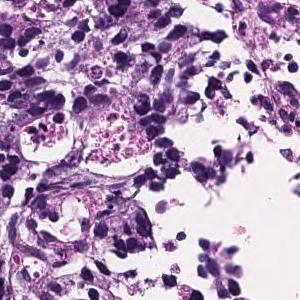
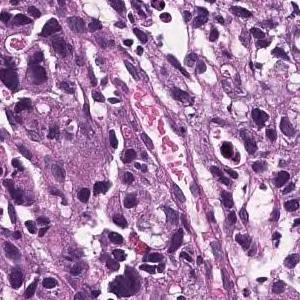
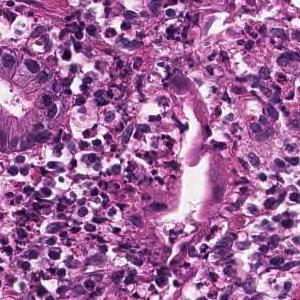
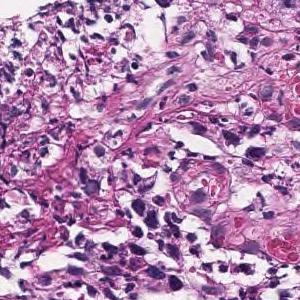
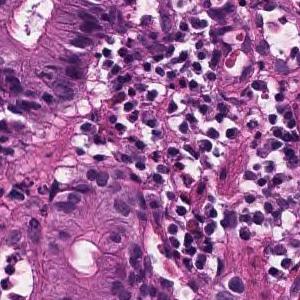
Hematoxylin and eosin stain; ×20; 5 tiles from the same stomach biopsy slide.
Pathology report for the biopsy slide these tiles were cut from. The findings and the diagnosis refer to the entire slide; these tiles show only part of it, possibly with non-tumor tissue, and may not show every feature named.
Tumor tissue consisting of medium-sized, cord-like or irregular glandular infiltration is observed in the superficial epithelium. Poorly differentiated adenocarcinoma, non-solid type or moderately differentiated tubular adenocarcinoma
"Non-solid type" is a category of the Japanese Classification of Gastric Carcinoma.
